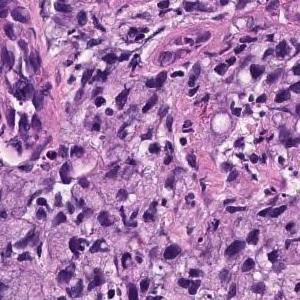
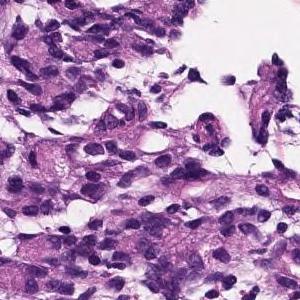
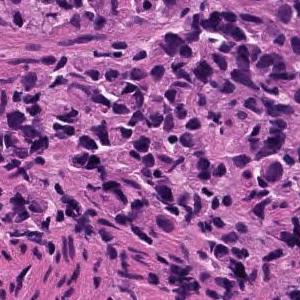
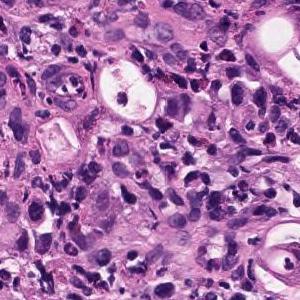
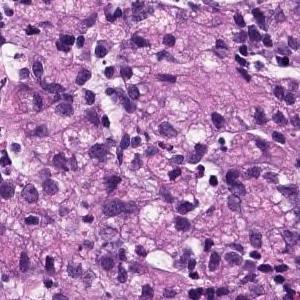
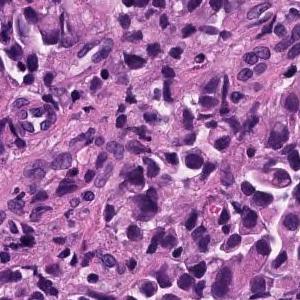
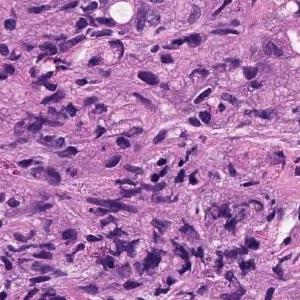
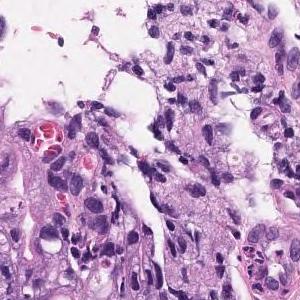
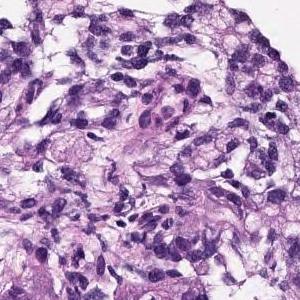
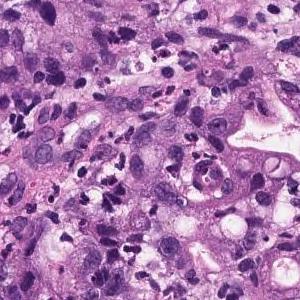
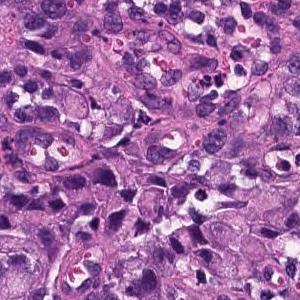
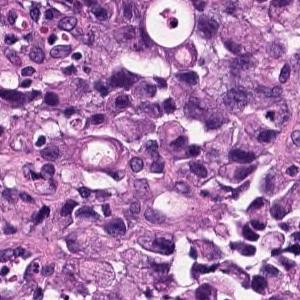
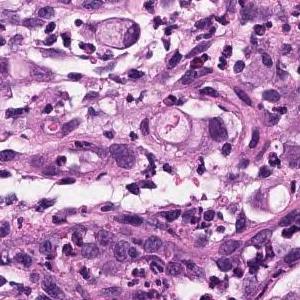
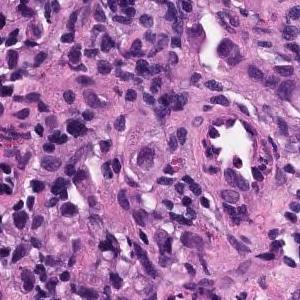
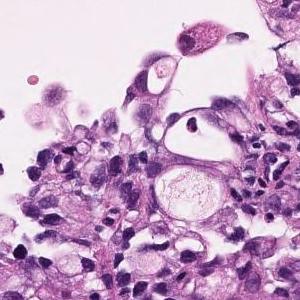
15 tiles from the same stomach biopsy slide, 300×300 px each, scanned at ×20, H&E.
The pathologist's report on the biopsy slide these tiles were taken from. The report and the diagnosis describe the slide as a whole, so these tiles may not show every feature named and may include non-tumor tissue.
Atypical epithelium forms irregularly fused gland ducts and proliferates. Poorly differentiated adenocarcinoma.
Histological subtype: Poorly differentiated adenocarcinoma, non-solid type.
"Non-solid type" is a category of the Japanese Classification of Gastric Carcinoma.
